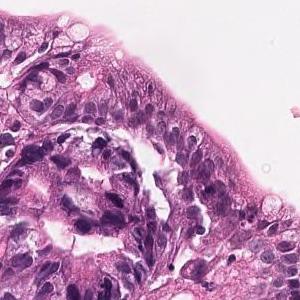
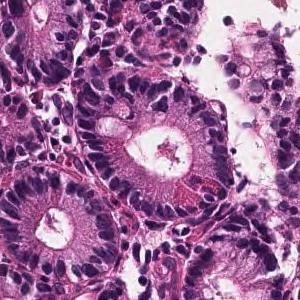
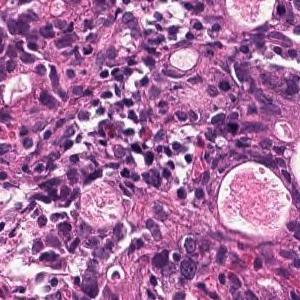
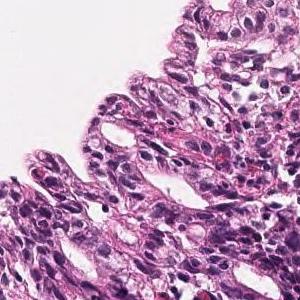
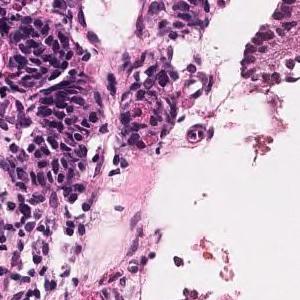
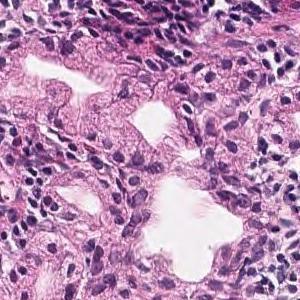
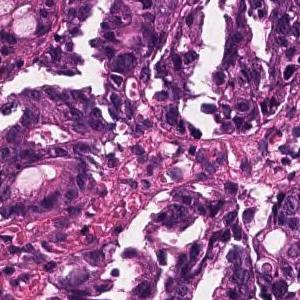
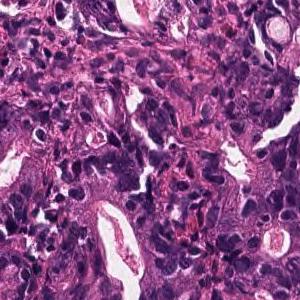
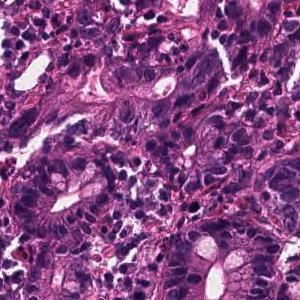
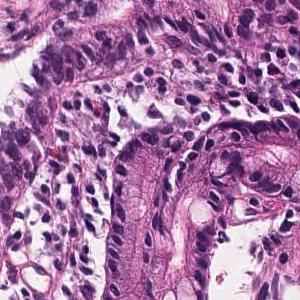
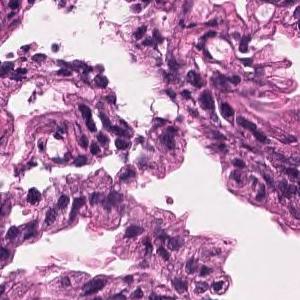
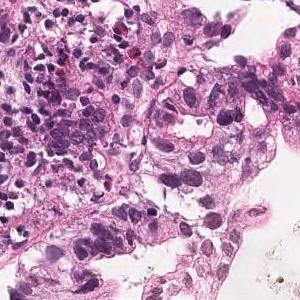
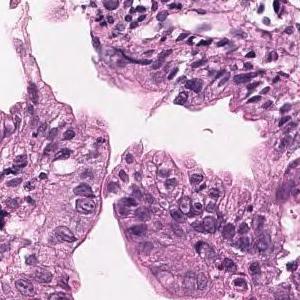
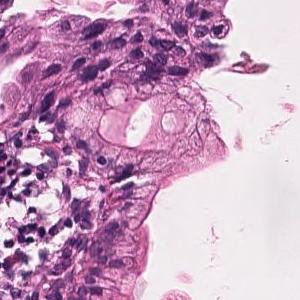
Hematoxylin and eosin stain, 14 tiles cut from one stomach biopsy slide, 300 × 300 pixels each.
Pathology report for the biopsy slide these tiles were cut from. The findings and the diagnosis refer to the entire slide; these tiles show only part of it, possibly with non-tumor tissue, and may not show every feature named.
On the superficial epithelium, tumor tissue consisting of large, irregular glandular ducts partially fused and infiltrated is observed. Well to moderately differentiated tubular adenocarcinoma (well differentiated tubular adenocarcinoma, moderately differentiated tubular adenocarcinoma)
Classified as well to moderately differentiated tubular adenocarcinoma.
